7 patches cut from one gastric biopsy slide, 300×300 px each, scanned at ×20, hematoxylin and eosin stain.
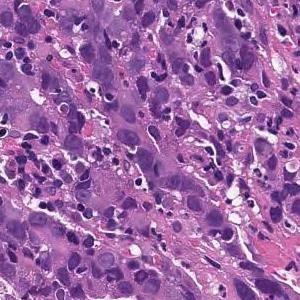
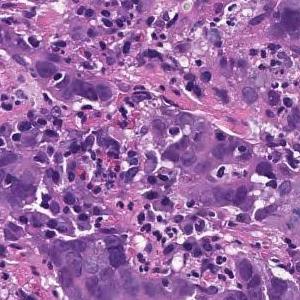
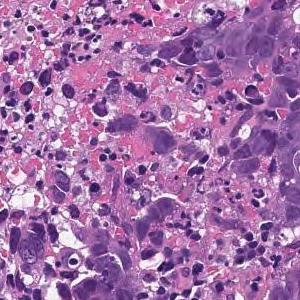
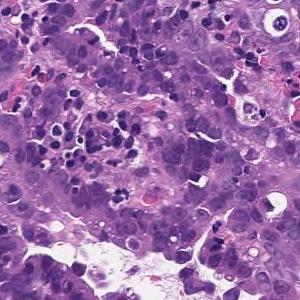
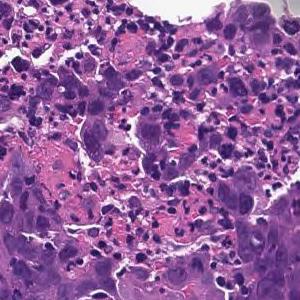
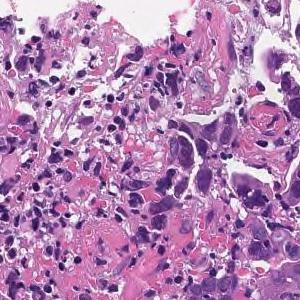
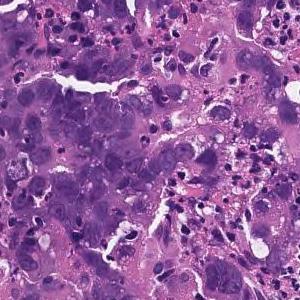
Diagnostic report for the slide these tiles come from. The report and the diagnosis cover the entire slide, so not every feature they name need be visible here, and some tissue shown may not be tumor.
Tumor tissue consisting of cord-like or small, irregular glandular ducts fused and infiltrated is observed in the superficial epithelium. Poorly differentiated adenocarcinoma, non-solid type
The non-solid type named here is a Japanese Classification of Gastric Carcinoma category.
